Scanned at ×20, hematoxylin and eosin stain, 10 patches cut from one gastric biopsy slide, 300 × 300 pixels each.
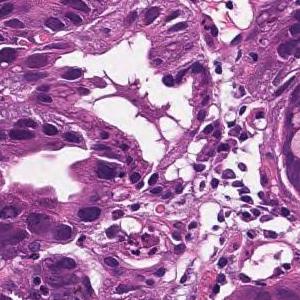
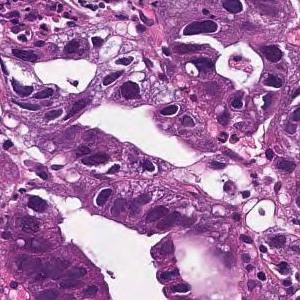
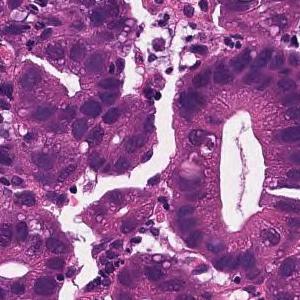
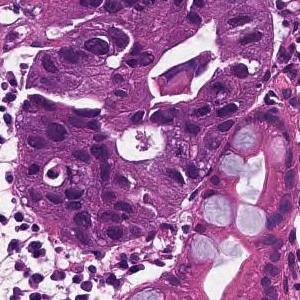
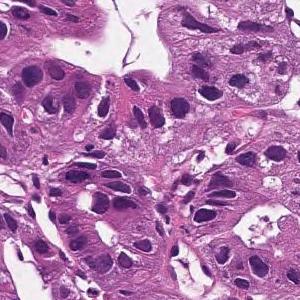
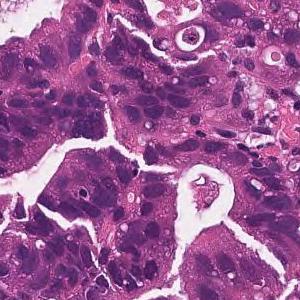
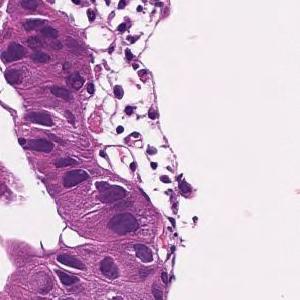
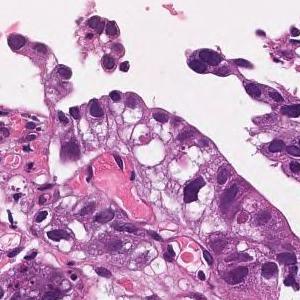
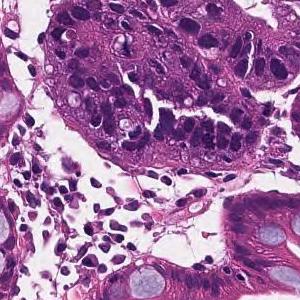
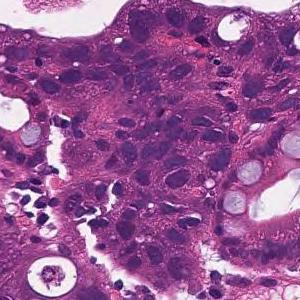
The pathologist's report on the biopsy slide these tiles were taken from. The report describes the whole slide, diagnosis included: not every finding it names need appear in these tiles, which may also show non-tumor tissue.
In the superficial epithelium, tumor tissue that invades by forming medium-sized to small, irregular ducts is observed. moderately differentiated tubular adenocarcinoma.
